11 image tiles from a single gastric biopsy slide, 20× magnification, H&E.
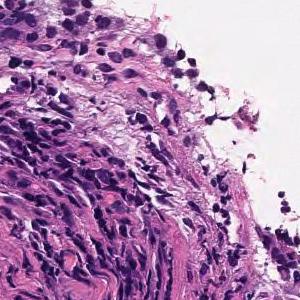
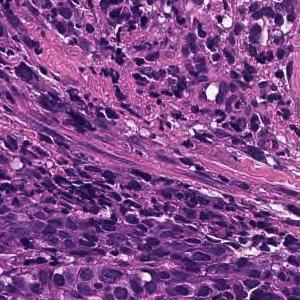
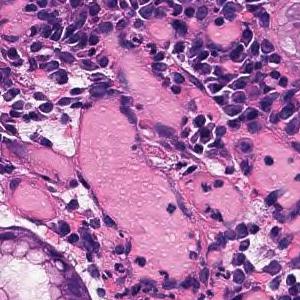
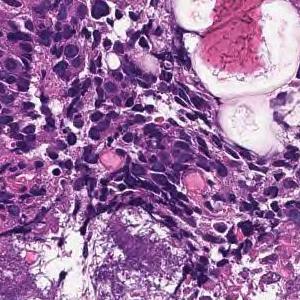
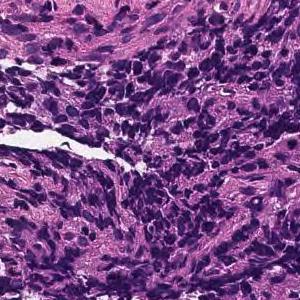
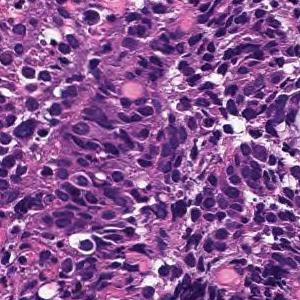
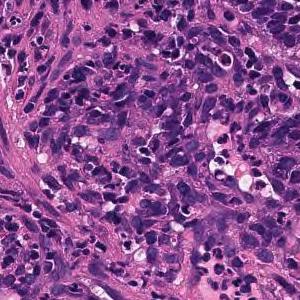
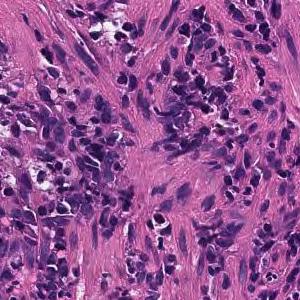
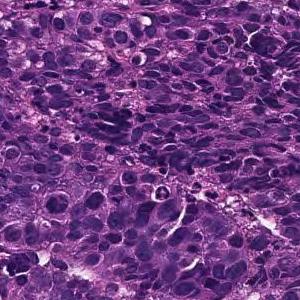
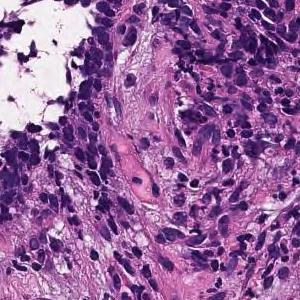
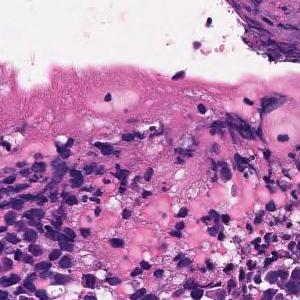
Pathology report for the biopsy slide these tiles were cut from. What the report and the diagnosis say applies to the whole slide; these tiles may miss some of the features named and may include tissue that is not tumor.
Large sheet-like or diffusely infiltrating tumor tissue is found in the superficial epithelium. Poorly differentiated adenocarcinoma, solid-type
Tumor subtype: poorly differentiated adenocarcinoma, solid type, a category of the Japanese Classification of Gastric Carcinoma; in the WHO 2019 classification it is tubular adenocarcinoma, poorly differentiated.
